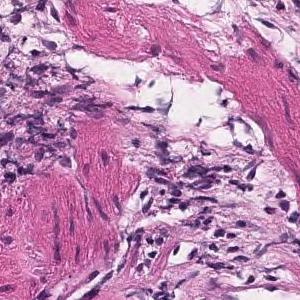
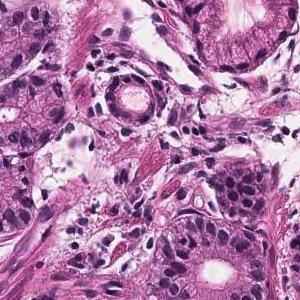
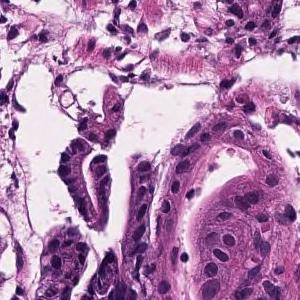
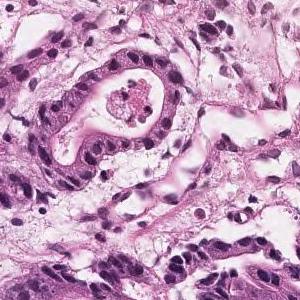
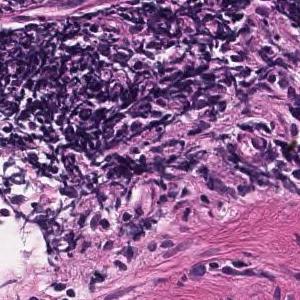
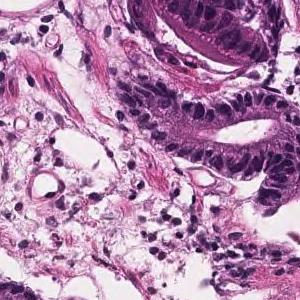
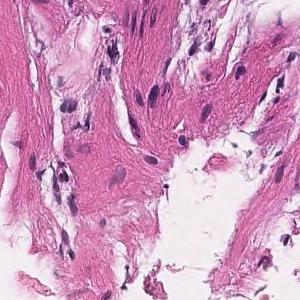
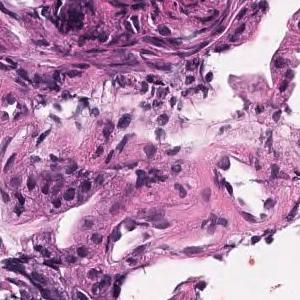
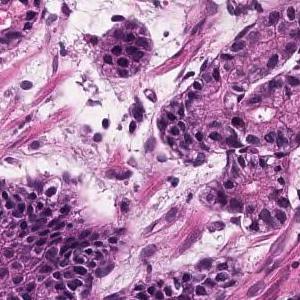
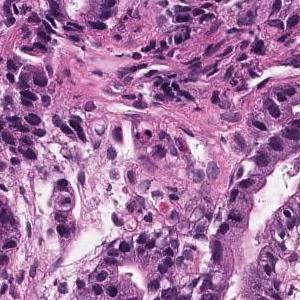
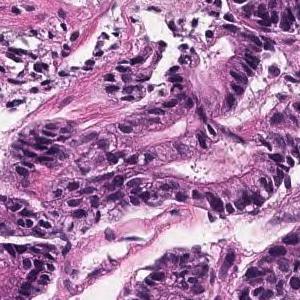
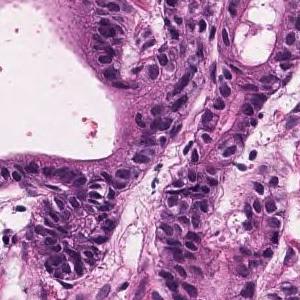
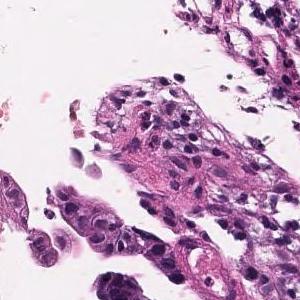
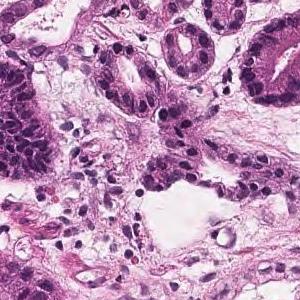
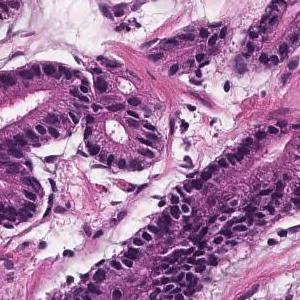
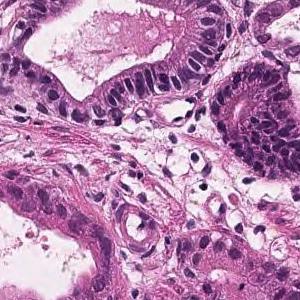
Scanned at ×20, H&E, 16 tiles cut from one stomach biopsy slide.
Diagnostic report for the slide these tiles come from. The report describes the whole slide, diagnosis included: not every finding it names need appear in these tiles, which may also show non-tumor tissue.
Tumor tissue with atypical epithelium showing irregular ductal or sieving ductal structure and proliferating is observed. Well to moderately differentiated tubular adenocarcinoma (well differentiated tubular adenocarcinoma-moderately differentiated tubular adenocarcinoma)
Tumor subtype: well to moderately differentiated tubular adenocarcinoma.
